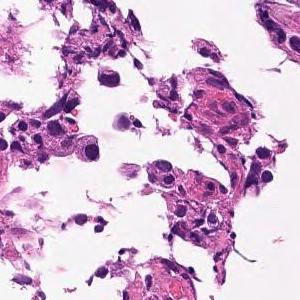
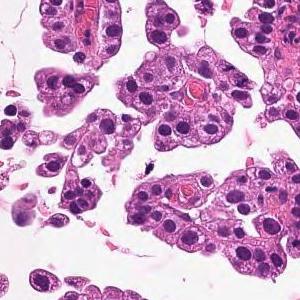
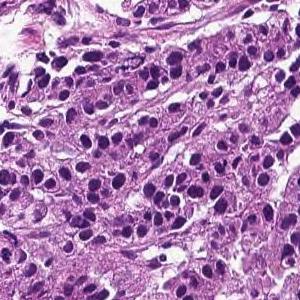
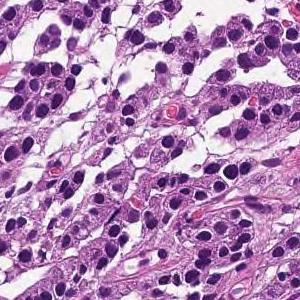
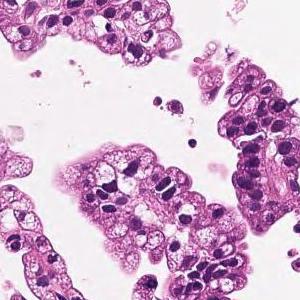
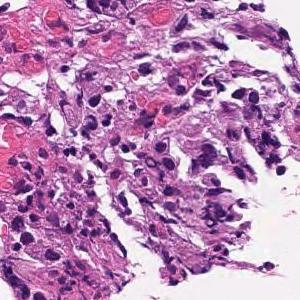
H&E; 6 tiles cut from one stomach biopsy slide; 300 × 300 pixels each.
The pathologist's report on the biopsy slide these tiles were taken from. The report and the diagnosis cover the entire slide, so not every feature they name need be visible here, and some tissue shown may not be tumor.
In the superficial epithelium, tumor tissue that invades by forming medium-sized to small, irregular ducts is observed. moderately differentiated tubular adenocarcinoma.
